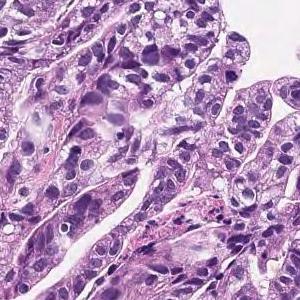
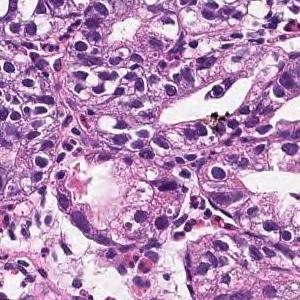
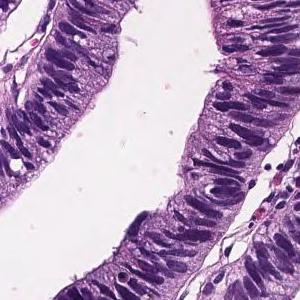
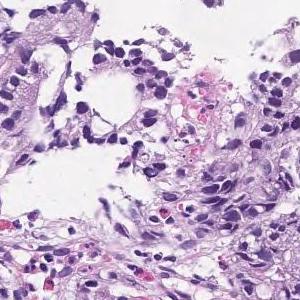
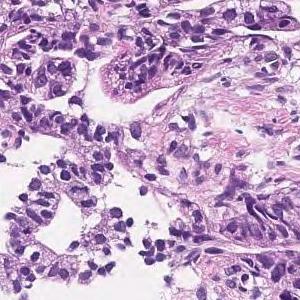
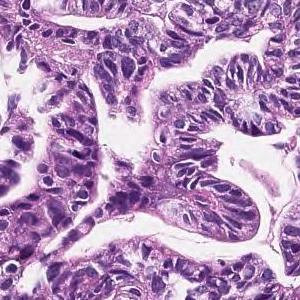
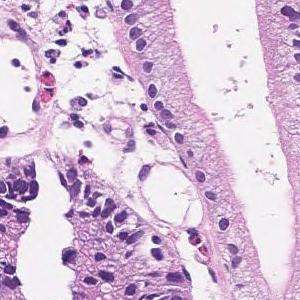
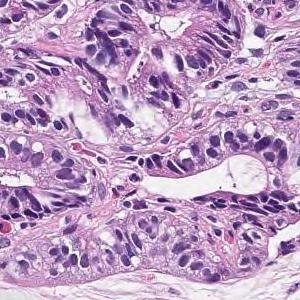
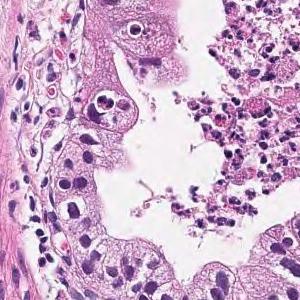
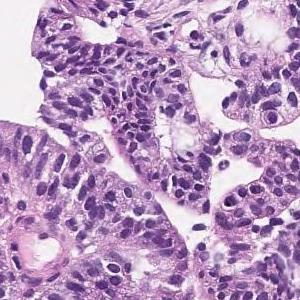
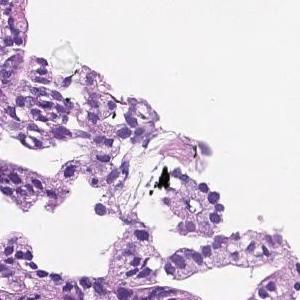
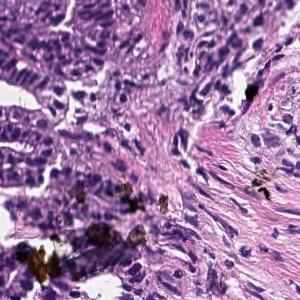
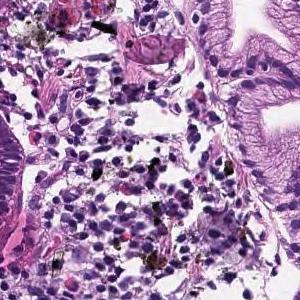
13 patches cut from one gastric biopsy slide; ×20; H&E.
Diagnostic report for the slide these tiles come from. What the report and the diagnosis say applies to the whole slide; these tiles may miss some of the features named and may include tissue that is not tumor.
In the superficial epithelium, tumor tissue that invades by forming medium-sized to small, irregular ducts is observed. Moderately differentiated adenocarcinoma.
Subtype: Moderately differentiated tubular adenocarcinoma.
